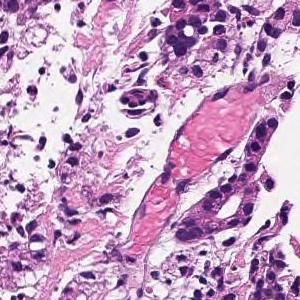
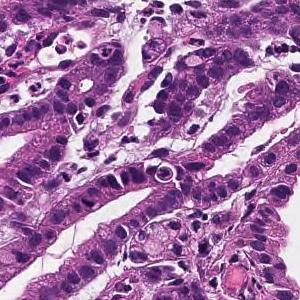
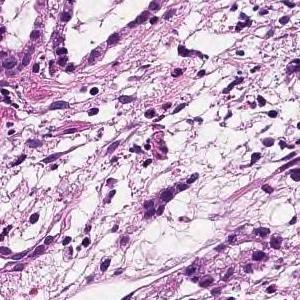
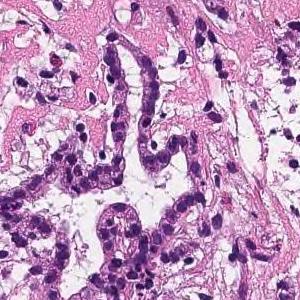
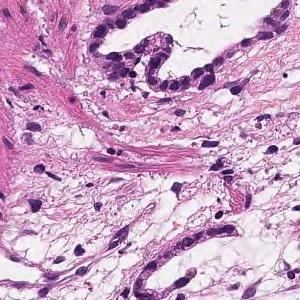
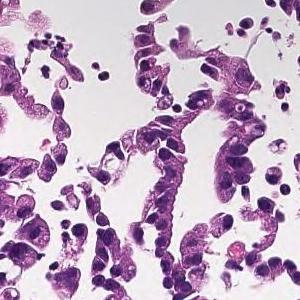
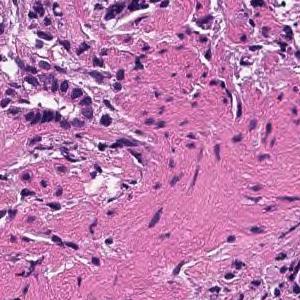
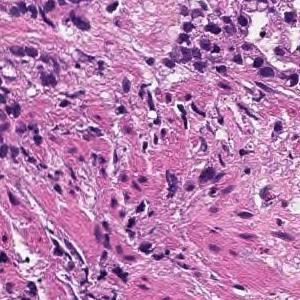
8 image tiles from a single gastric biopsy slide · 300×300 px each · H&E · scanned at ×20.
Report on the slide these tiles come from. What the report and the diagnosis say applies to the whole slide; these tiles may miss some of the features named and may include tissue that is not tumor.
In the superficial epithelium, tumor tissue that invades by forming medium-sized to small, irregular ducts is observed. moderately differentiated tubular adenocarcinoma.
